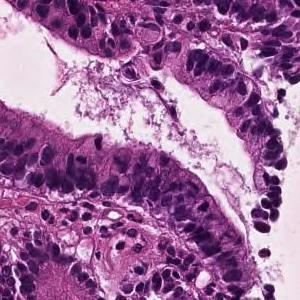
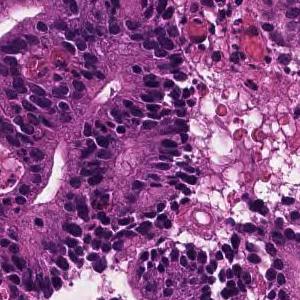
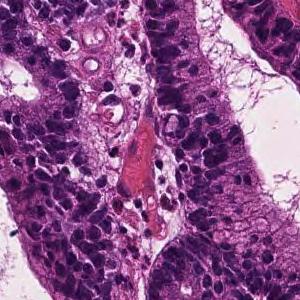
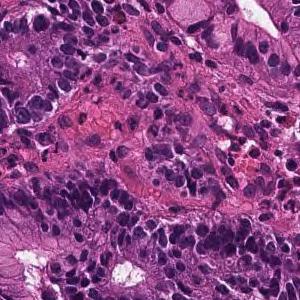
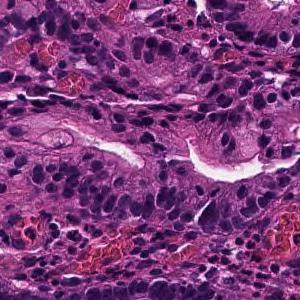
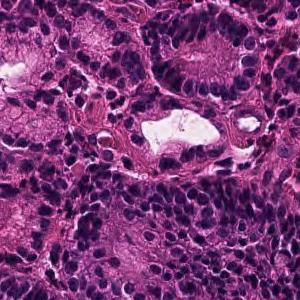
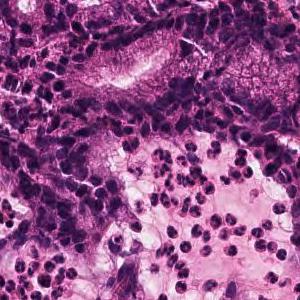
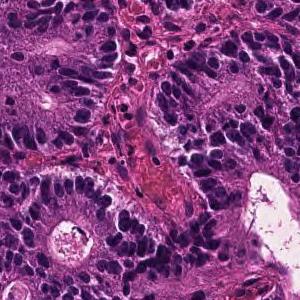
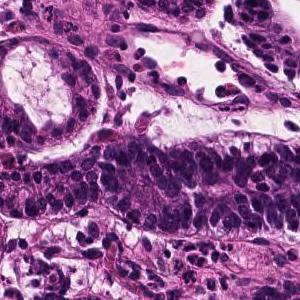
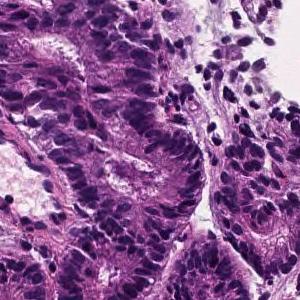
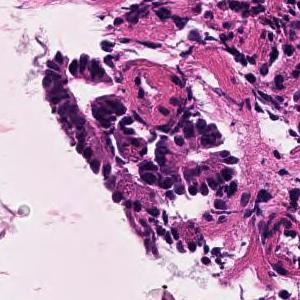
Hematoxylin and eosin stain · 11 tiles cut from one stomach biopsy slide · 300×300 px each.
Report on the slide these tiles come from. What the report and the diagnosis say applies to the whole slide; these tiles may miss some of the features named and may include tissue that is not tumor.
In the superficial epithelium, tumor tissue that invades by forming medium-sized to small, irregular ducts is observed. moderately differentiated tubular adenocarcinoma.
